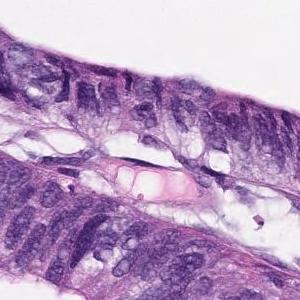
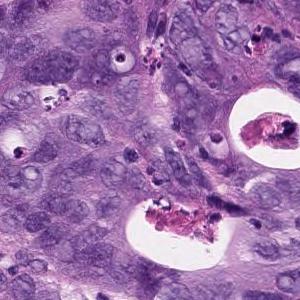
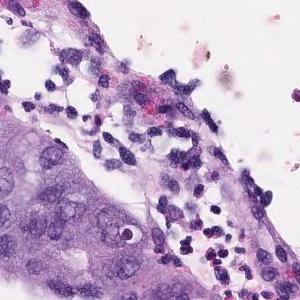
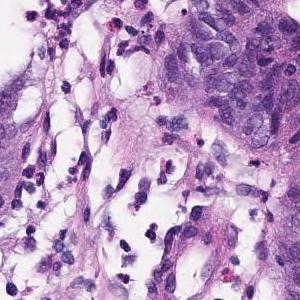
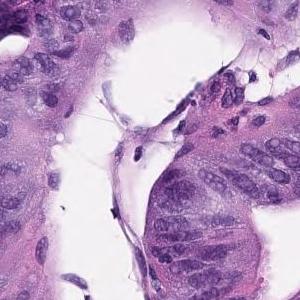
Hematoxylin and eosin stain · scanned at ×20 · 5 tiles from the same stomach biopsy slide · 300×300 px each.
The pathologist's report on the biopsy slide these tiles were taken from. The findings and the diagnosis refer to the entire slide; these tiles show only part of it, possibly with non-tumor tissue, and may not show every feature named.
In the superficial epithelium, tumor tissue that invades by forming medium-sized to small, irregular ducts is observed. Moderately differentiated adenocarcinoma.
Tumor subtype: moderately differentiated tubular adenocarcinoma.
